10 tiles cut from one stomach biopsy slide, 300×300 px each, scanned at ×20, hematoxylin and eosin stain.
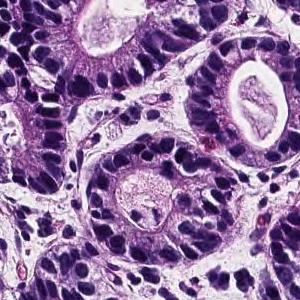
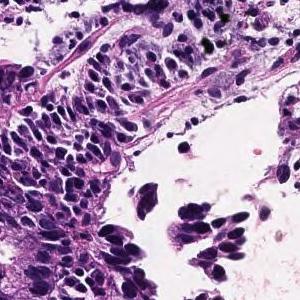
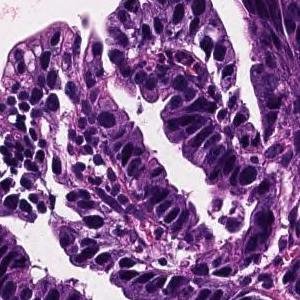
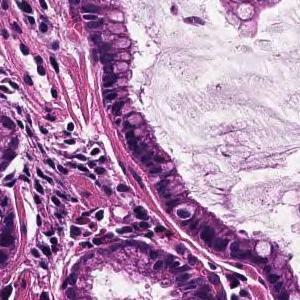
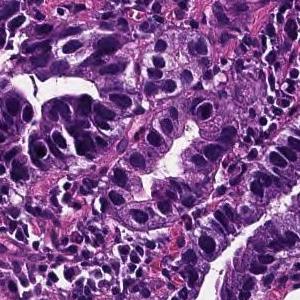
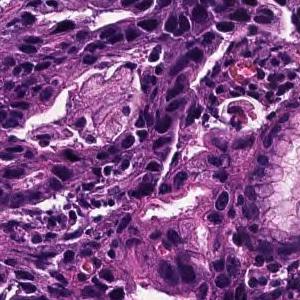
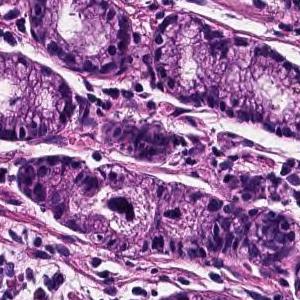
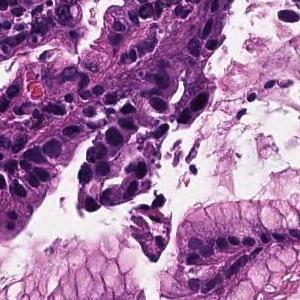
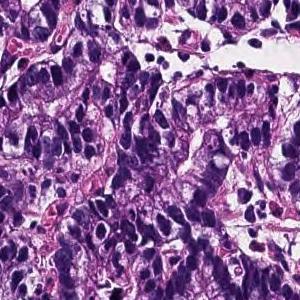
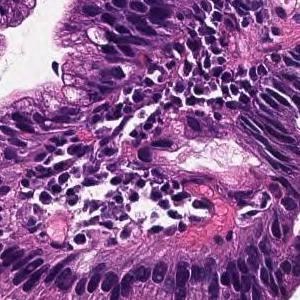
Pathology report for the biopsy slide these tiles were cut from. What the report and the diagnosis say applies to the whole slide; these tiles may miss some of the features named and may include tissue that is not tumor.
Tumor cells are large, highly columnar, large club-shaped nuclei, and are associated with chromatin aggregation. Papillary adenocarcinoma.
